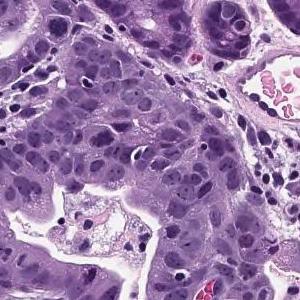
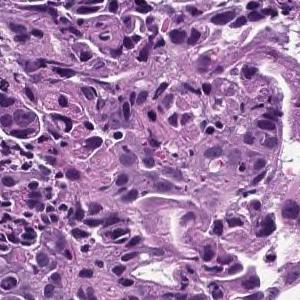
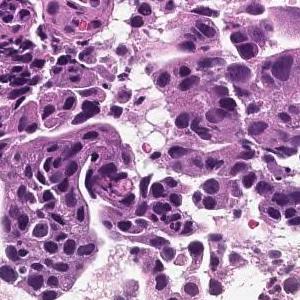
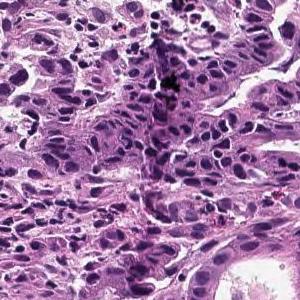
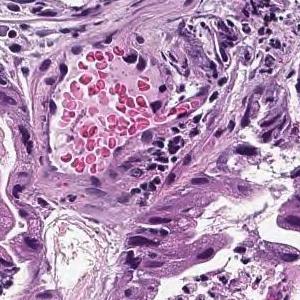
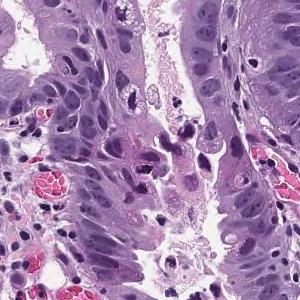
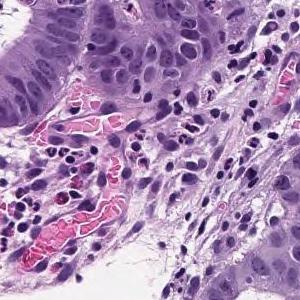
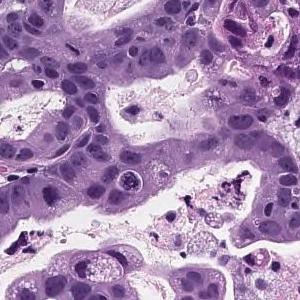
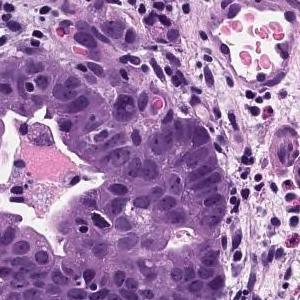
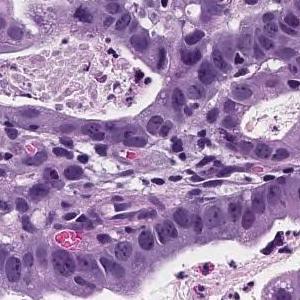
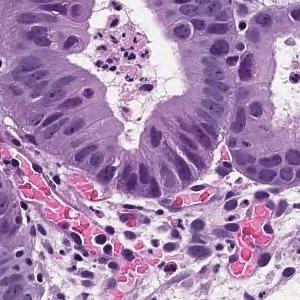
H&E stain · 11 tiles from the same stomach biopsy slide.
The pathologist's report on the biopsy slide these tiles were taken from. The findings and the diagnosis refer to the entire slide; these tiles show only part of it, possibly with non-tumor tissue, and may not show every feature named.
Tumor cells are large, highly columnar, large club-shaped nuclei, and are associated with chromatin aggregation. Papillary adenocarcinoma.
